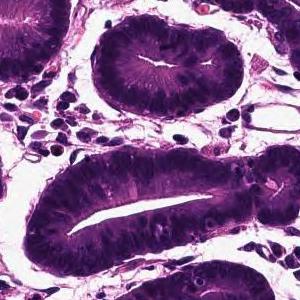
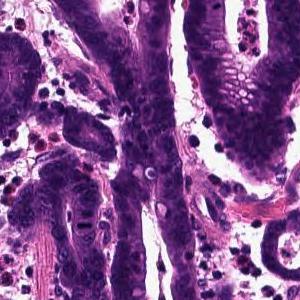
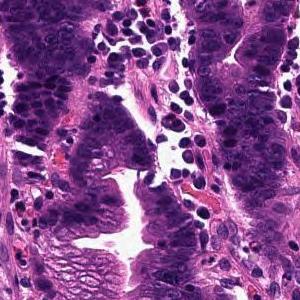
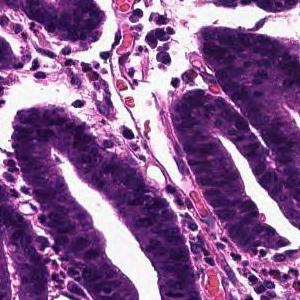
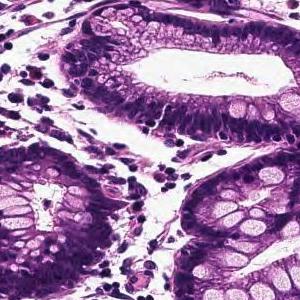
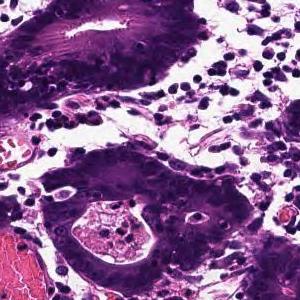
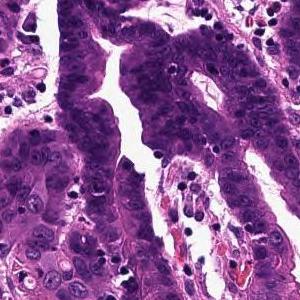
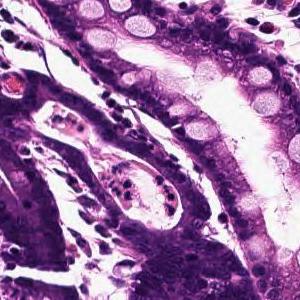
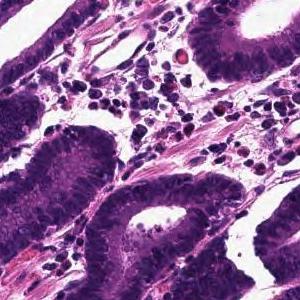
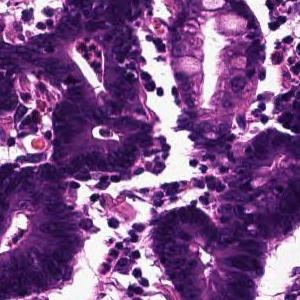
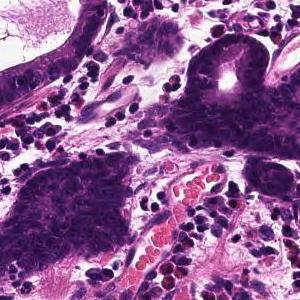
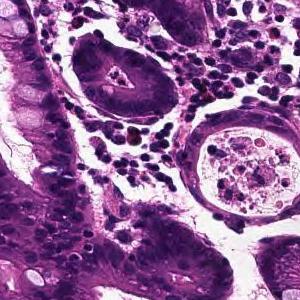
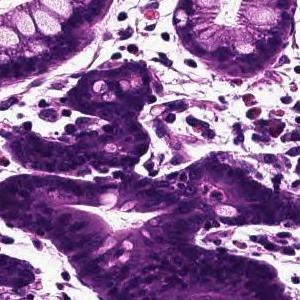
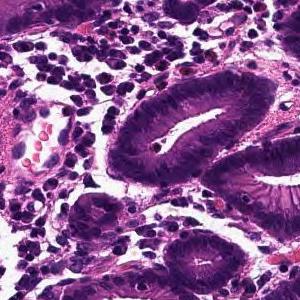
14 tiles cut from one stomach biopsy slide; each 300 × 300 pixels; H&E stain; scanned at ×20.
Pathology report for the biopsy slide these tiles were cut from. The findings and the diagnosis refer to the entire slide; these tiles show only part of it, possibly with non-tumor tissue, and may not show every feature named.
Tumor tissue that infiltrates by forming large papillary or large irregular glandular ducts is observed confined to the mucosa. Papillary adenocarcinoma
